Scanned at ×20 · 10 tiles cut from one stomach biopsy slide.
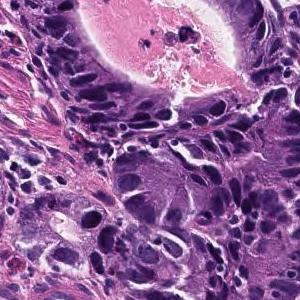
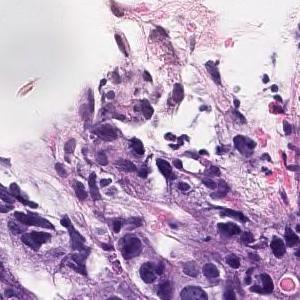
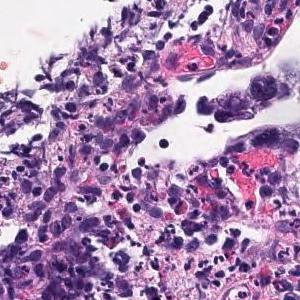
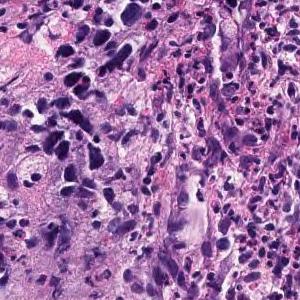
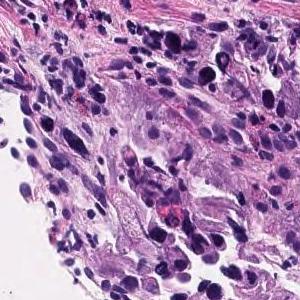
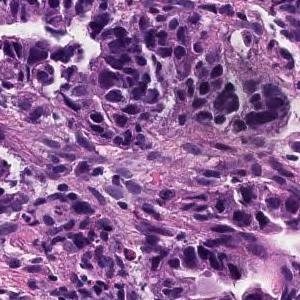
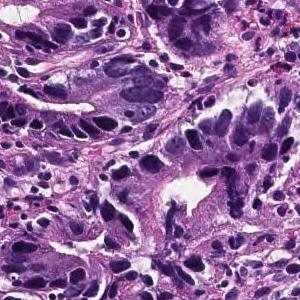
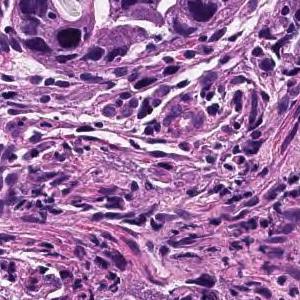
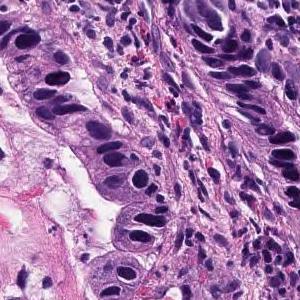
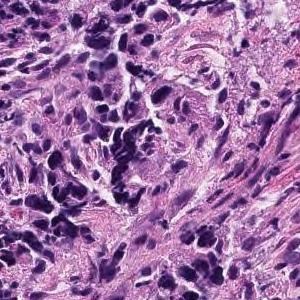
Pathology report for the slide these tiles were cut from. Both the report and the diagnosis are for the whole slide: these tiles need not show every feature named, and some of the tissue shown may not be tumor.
In the superficial epithelium, tumor tissue that invades by forming medium-sized to small, irregular ducts is observed. Tumor cells are columnar or cuboidal in shape. Moderately differentiated adenocarcinoma.
Subtype: Moderately differentiated tubular adenocarcinoma.
